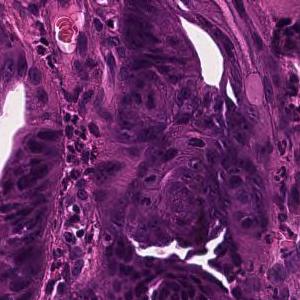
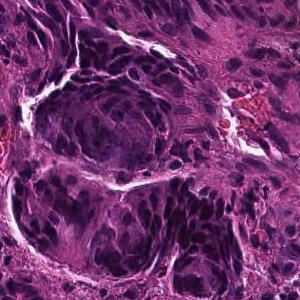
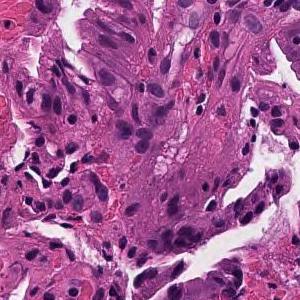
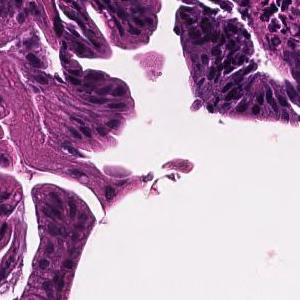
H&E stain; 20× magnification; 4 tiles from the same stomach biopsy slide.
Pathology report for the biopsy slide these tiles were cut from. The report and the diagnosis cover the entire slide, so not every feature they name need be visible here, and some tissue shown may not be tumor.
Tumor cells are large, highly columnar, large club-shaped nuclei, and are associated with chromatin aggregation. Papillary adenocarcinoma.
